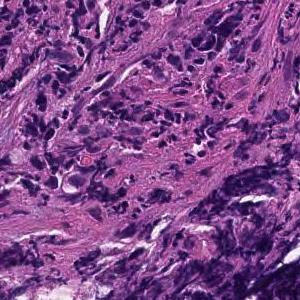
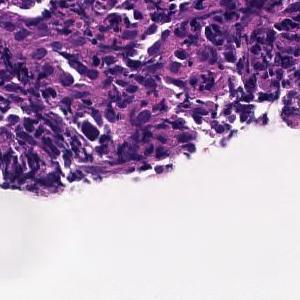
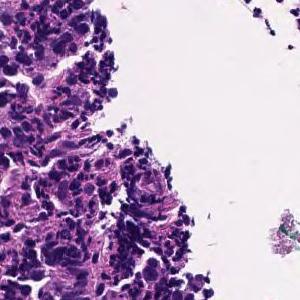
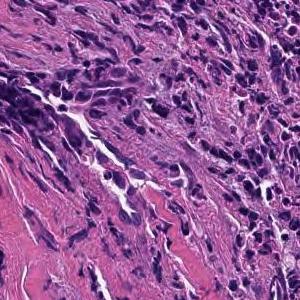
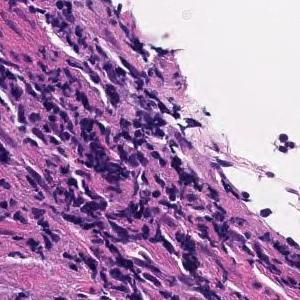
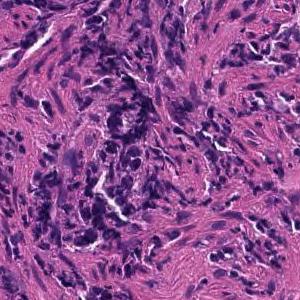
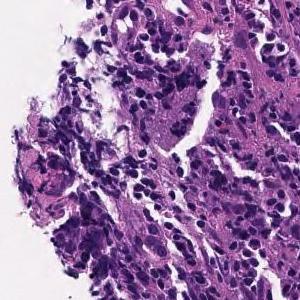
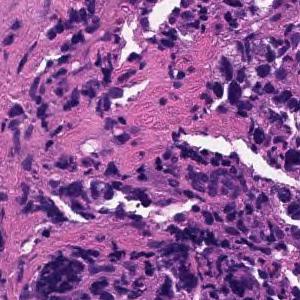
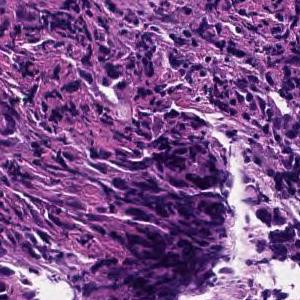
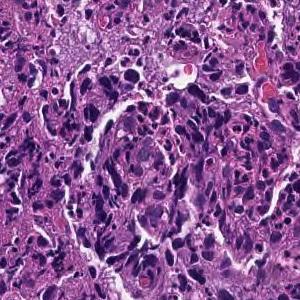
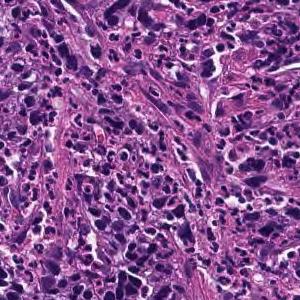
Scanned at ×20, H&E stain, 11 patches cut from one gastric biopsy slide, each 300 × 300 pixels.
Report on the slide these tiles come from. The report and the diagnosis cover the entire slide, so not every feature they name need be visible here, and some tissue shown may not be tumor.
Tumor tissue consisting of cord-like or small, irregular glandular ducts fused and infiltrated is observed in the superficial epithelium. Poorly differentiated adenocarcinoma, non-solid type
"Non-solid type" is a category of the Japanese Classification of Gastric Carcinoma.
